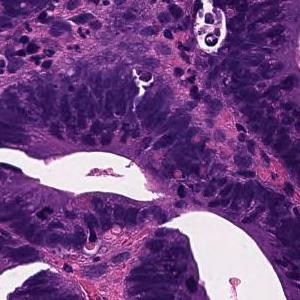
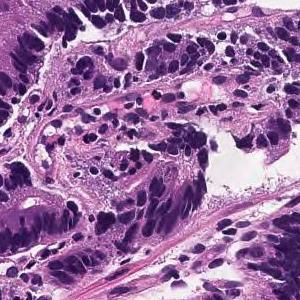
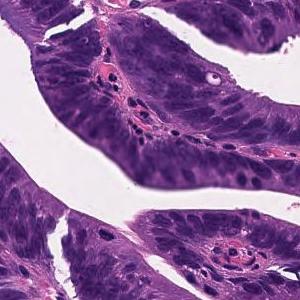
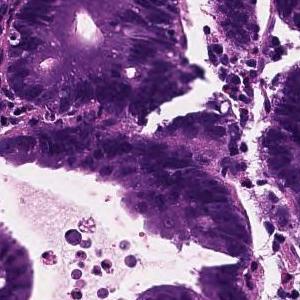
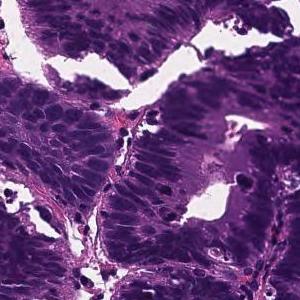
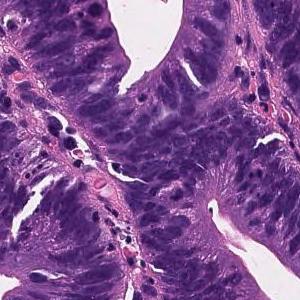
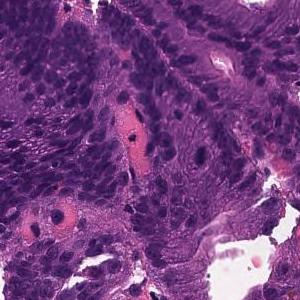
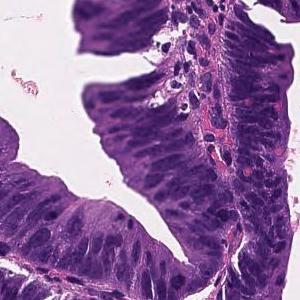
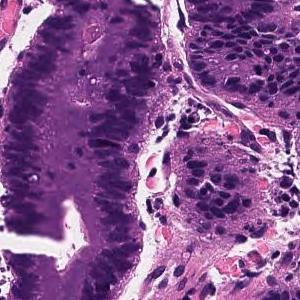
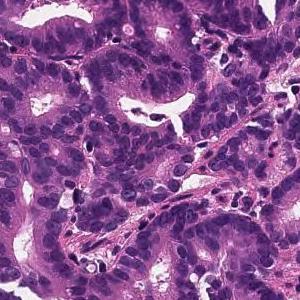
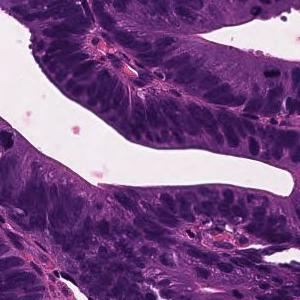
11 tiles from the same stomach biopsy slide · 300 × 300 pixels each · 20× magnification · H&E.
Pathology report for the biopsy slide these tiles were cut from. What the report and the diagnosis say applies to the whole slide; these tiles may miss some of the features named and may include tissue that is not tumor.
Tumor tissue consisting of large papillary structures is found in the superficial epithelium. Papillary adenocarcinoma.
